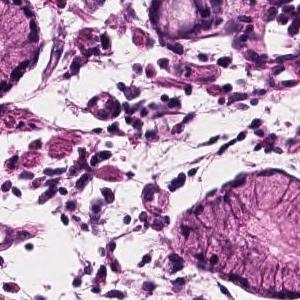
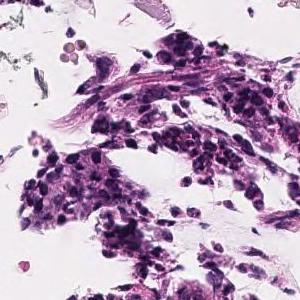
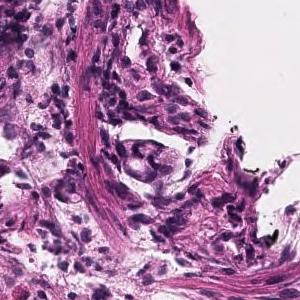
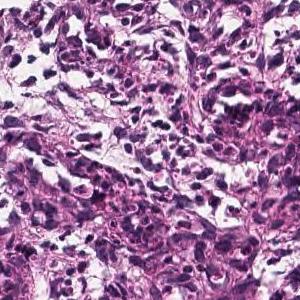
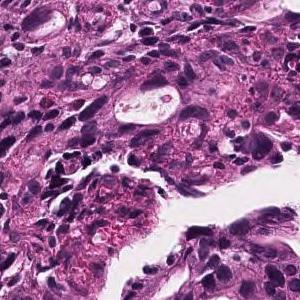
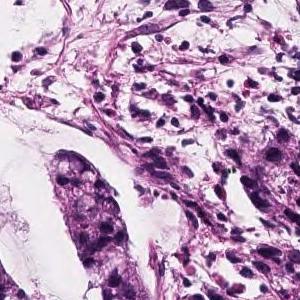
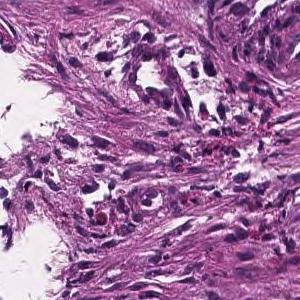
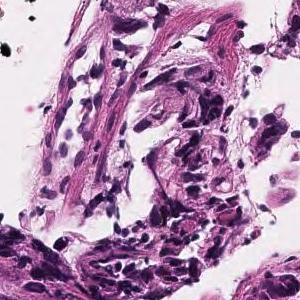
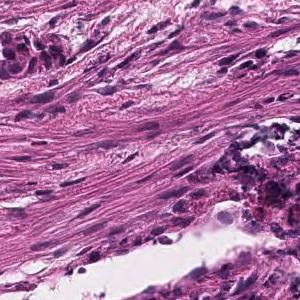
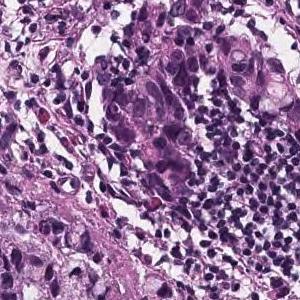
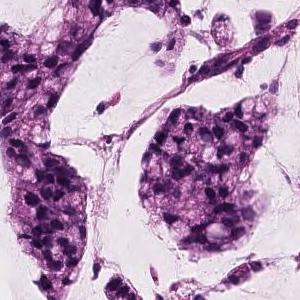
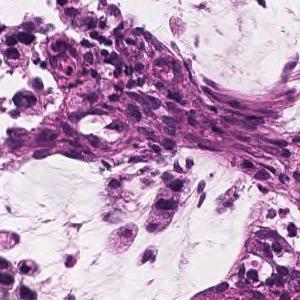
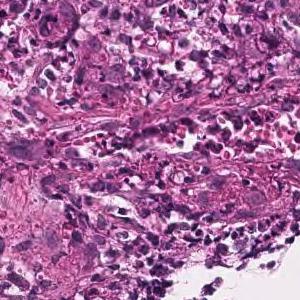
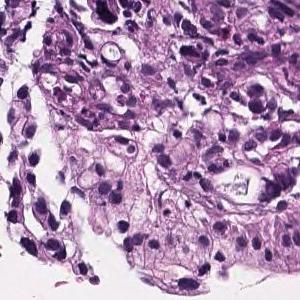
14 image tiles from a single gastric biopsy slide · each 300 × 300 pixels · H&E stain · ×20.
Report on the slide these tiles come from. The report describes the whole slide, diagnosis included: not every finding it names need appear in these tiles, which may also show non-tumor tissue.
Atypical epithelial cells form obscure ductal structures or small solid follicles, and tumor tissue that proliferates invasively with proliferation of inflammatory granulation tissue is observed. Mucinous adenocarcinoma .
